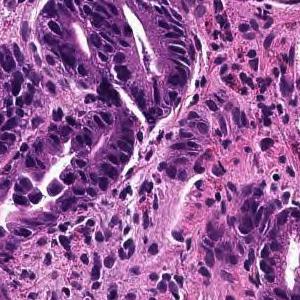
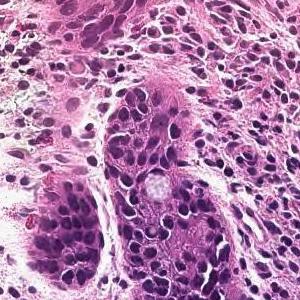
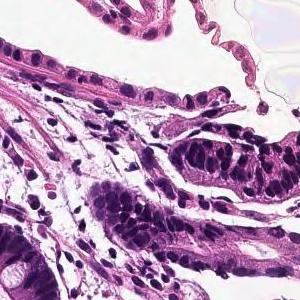
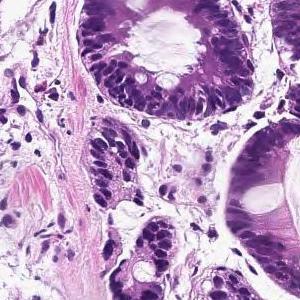
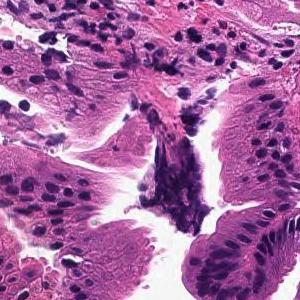
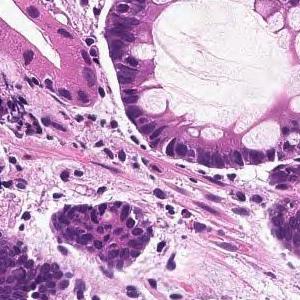
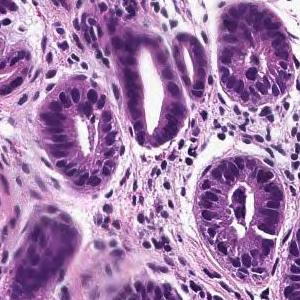
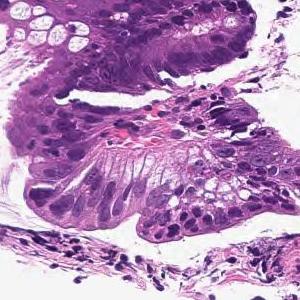
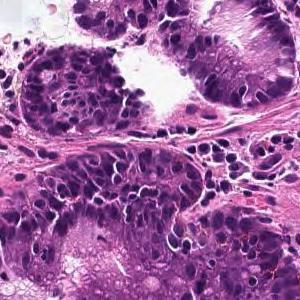
×20; H&E; 9 image tiles from a single gastric biopsy slide; 300 × 300 pixels each.
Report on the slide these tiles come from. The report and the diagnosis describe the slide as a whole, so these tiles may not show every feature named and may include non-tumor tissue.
From the superficial epithelium to the muscularis mucosae, tumor tissue consisting of medium-sized and irregular glandular ducts infiltrating is observed. Well differentiated tubular adenocarcinoma
